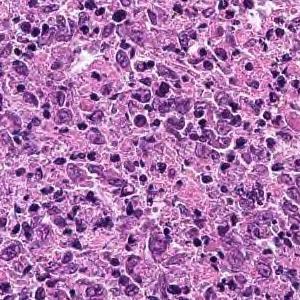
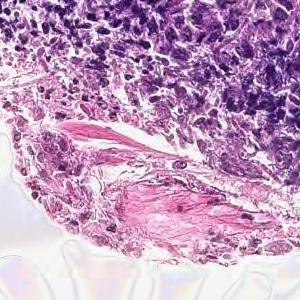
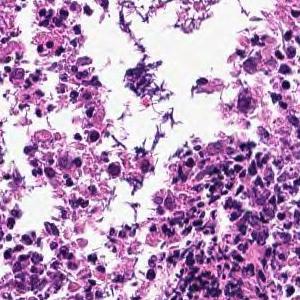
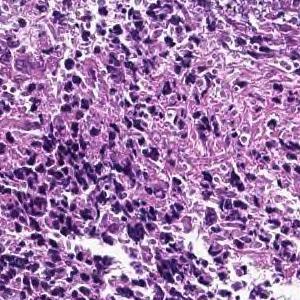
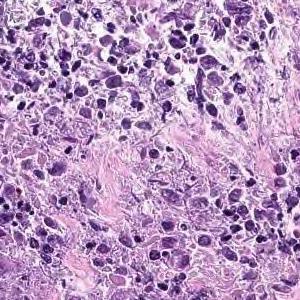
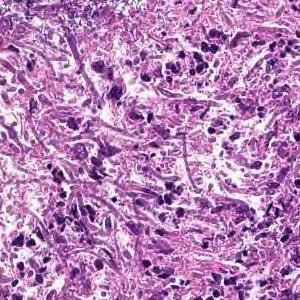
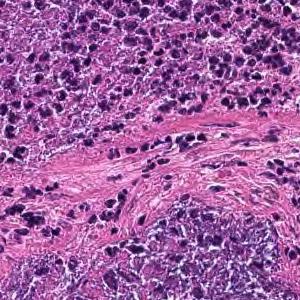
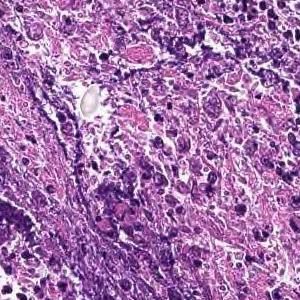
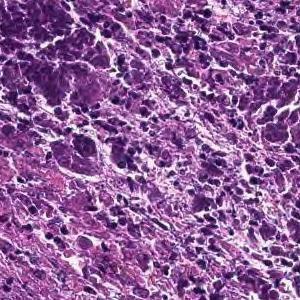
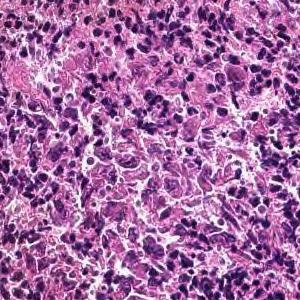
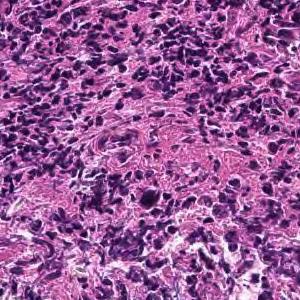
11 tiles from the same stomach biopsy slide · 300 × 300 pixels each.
Report on the slide these tiles come from. The report and the diagnosis describe the slide as a whole, so these tiles may not show every feature named and may include non-tumor tissue.
Cancers with polygonal nuclei do not show glandular formation and are densely, in part, cord-like and proliferate. Poorly differentiated adenocarcinoma
Subtype: Poorly differentiated adenocarcinoma, non-solid type.
"Non-solid type" is a category of the Japanese Classification of Gastric Carcinoma.
